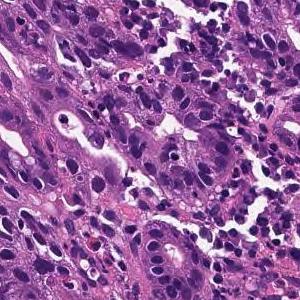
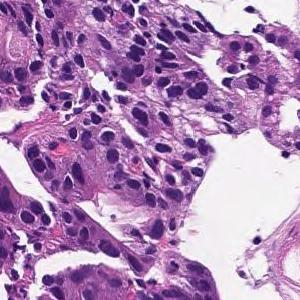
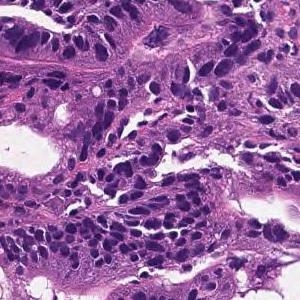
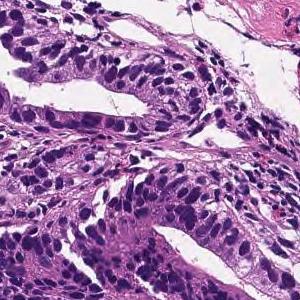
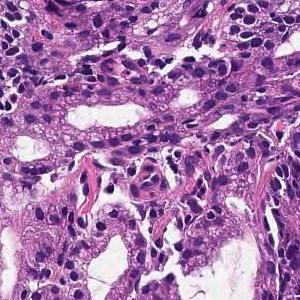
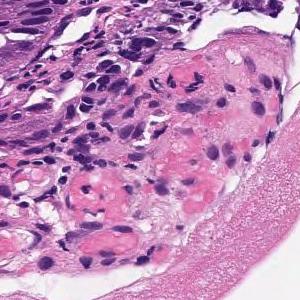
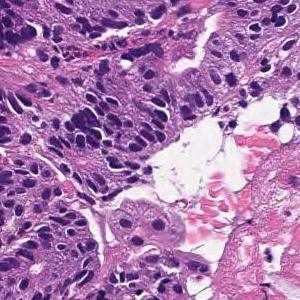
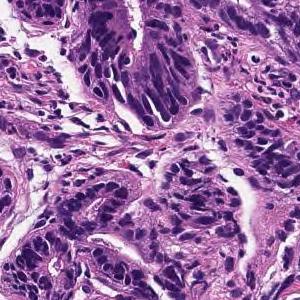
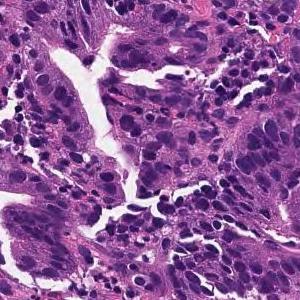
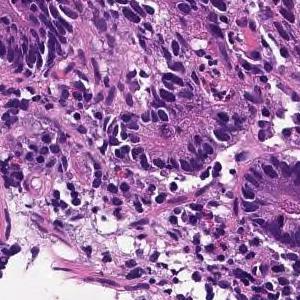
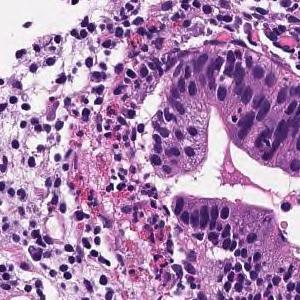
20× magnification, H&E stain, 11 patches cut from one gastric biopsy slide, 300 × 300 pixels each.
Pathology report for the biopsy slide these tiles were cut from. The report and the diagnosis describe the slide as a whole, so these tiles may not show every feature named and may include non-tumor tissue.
In the superficial epithelium, tumor tissue that invades by forming medium-sized to small, irregular ducts is observed. moderately differentiated tubular adenocarcinoma.
